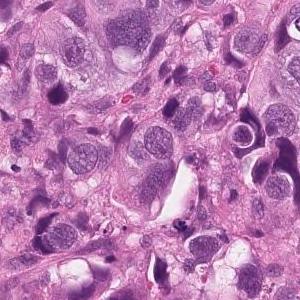
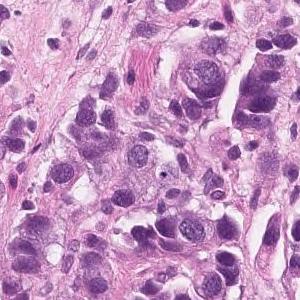
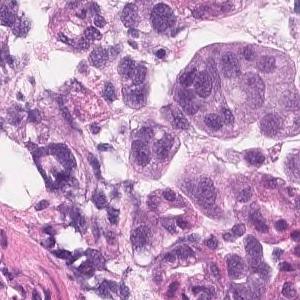
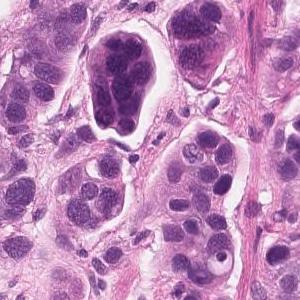
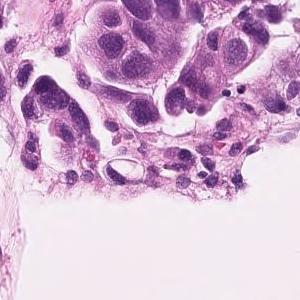
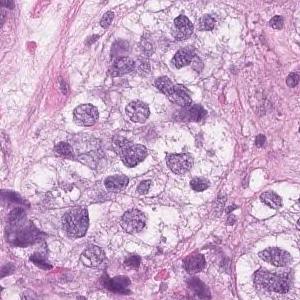
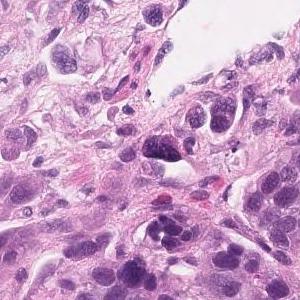
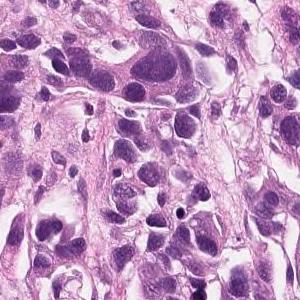
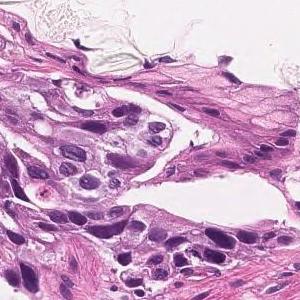
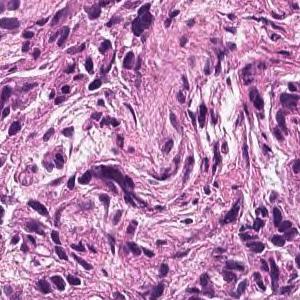
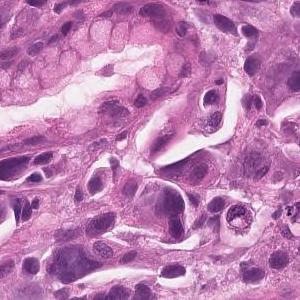
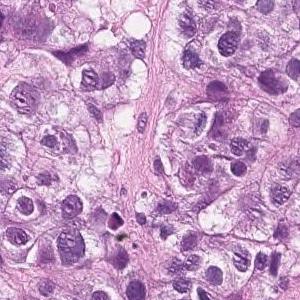
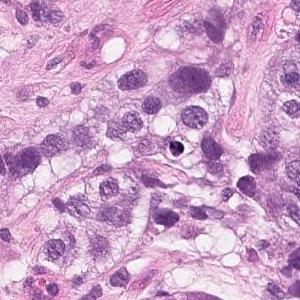
H&E · 13 tiles cut from one stomach biopsy slide.
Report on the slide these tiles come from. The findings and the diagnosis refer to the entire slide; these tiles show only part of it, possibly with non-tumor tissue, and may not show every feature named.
Tumor tissue that infiltrates the epithelium in an alveolar manner. Poorly differentiated adenocarcinoma, solid-type
Histological subtype: Poorly differentiated adenocarcinoma, solid type (Japanese Classification of Gastric Carcinoma). The WHO 2019 equivalent is tubular adenocarcinoma, poorly differentiated.
